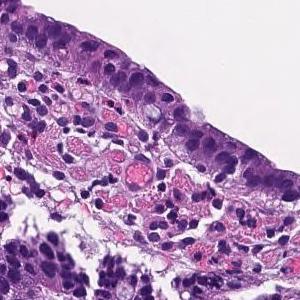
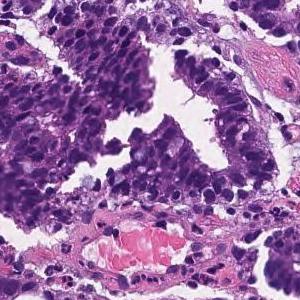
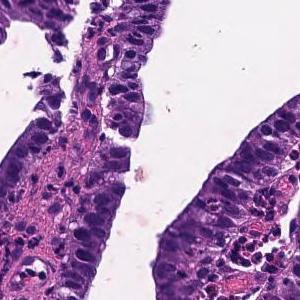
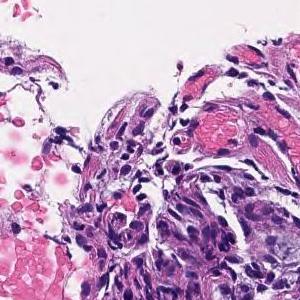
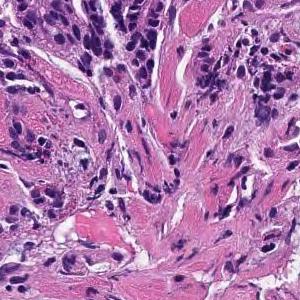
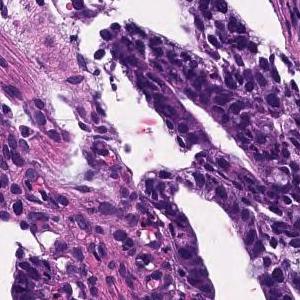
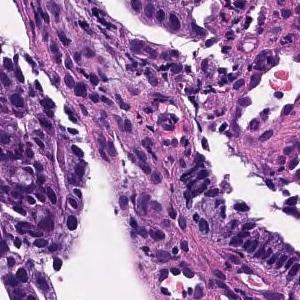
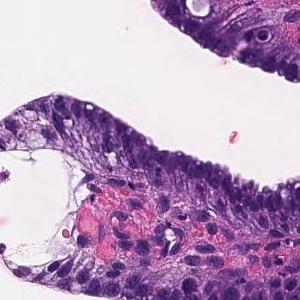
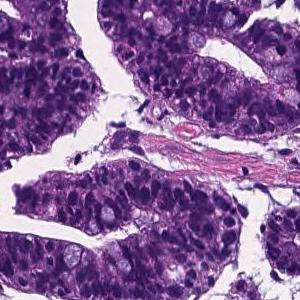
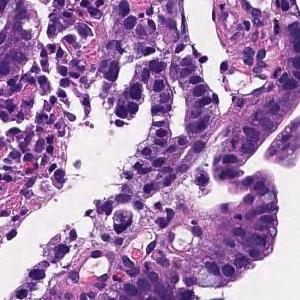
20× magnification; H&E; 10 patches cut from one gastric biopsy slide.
Pathology report for the slide these tiles were cut from. The report and the diagnosis cover the entire slide, so not every feature they name need be visible here, and some tissue shown may not be tumor.
Tumor cells are large, highly columnar, large club-shaped nuclei, and are associated with chromatin aggregation. Papillary adenocarcinoma.
